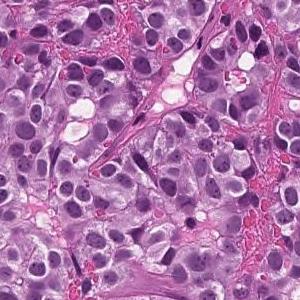
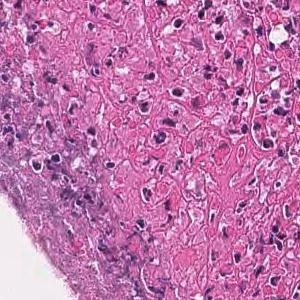
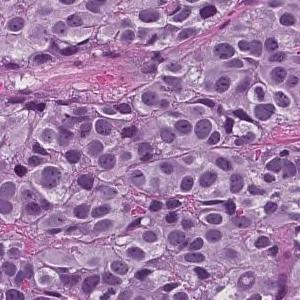
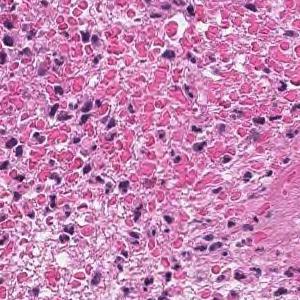
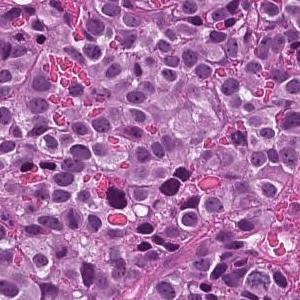
Hematoxylin and eosin stain · scanned at ×20 · 5 tiles cut from one stomach biopsy slide · 300 × 300 pixels each.
Pathology report for the biopsy slide these tiles were cut from. The report describes the whole slide, diagnosis included: not every finding it names need appear in these tiles, which may also show non-tumor tissue.
The superficial epithelium shows a large sheet-like shape, and some tumor tissue infiltrates with small irregular ducts. Poorly differentiated adenocarcinoma, solid-type
Classified as poorly differentiated adenocarcinoma, solid type, a category of the Japanese Classification of Gastric Carcinoma; in the WHO 2019 classification it is tubular adenocarcinoma, poorly differentiated.
